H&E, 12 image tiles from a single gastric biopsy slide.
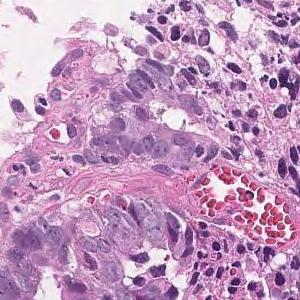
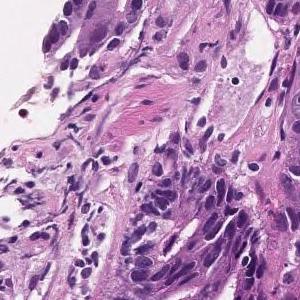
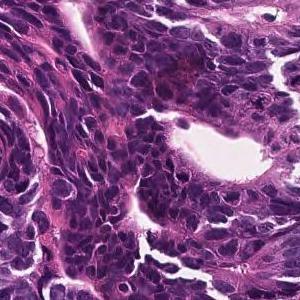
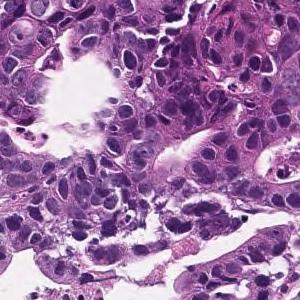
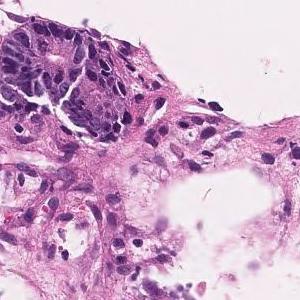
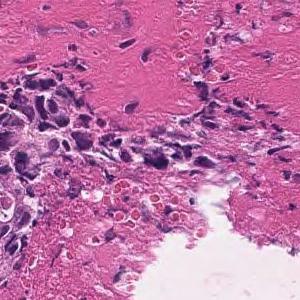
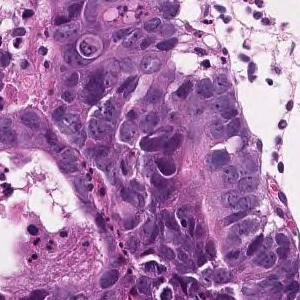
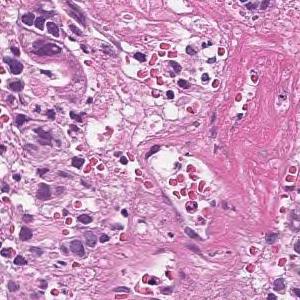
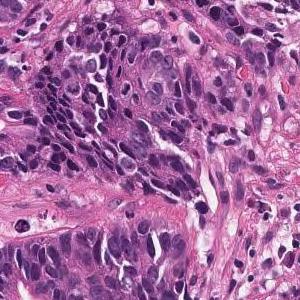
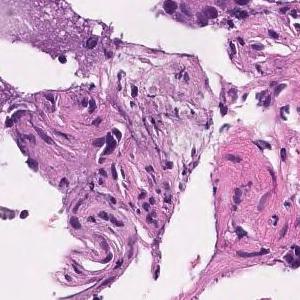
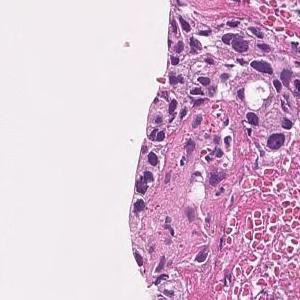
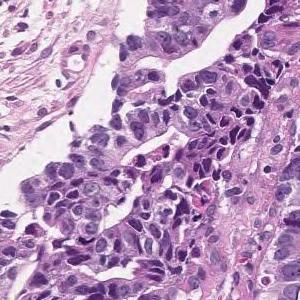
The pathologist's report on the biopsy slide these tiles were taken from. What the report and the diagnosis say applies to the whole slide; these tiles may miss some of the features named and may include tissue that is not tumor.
In the superficial epithelium, tumor tissue that invades by forming medium-sized to small, irregular ducts is observed. moderately differentiated tubular adenocarcinoma.
